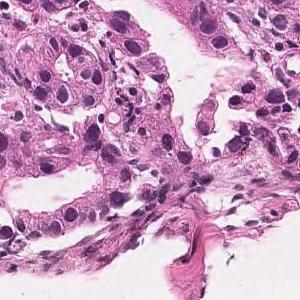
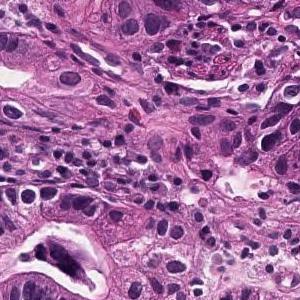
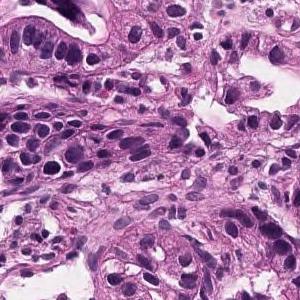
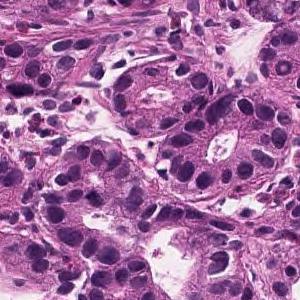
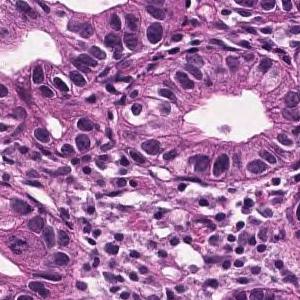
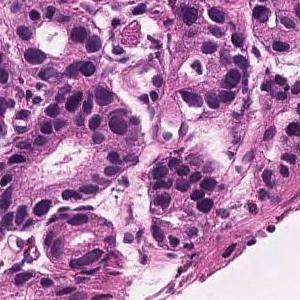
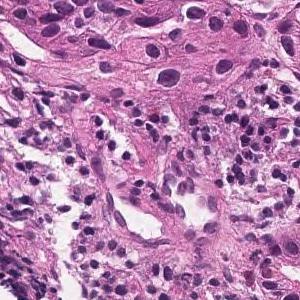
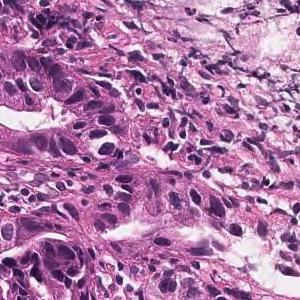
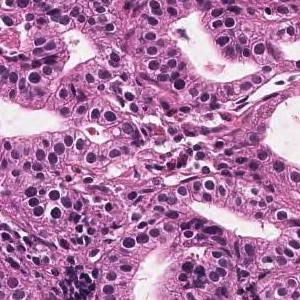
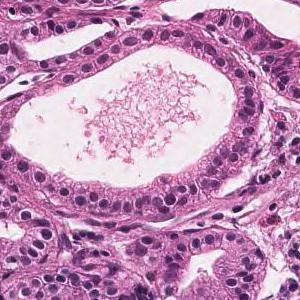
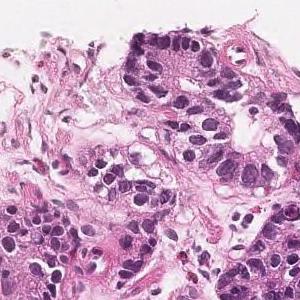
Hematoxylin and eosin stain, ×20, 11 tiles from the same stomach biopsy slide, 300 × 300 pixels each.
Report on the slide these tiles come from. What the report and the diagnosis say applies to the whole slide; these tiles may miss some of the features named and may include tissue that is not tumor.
Tumor tissue consisting of medium-sized and irregular ducts is observed infiltrating in the superficial epithelium. Tumor cells are highly columnar, with nuclei aligned basolaterally and polarized. Well differentiated tubular adenocarcinoma.
